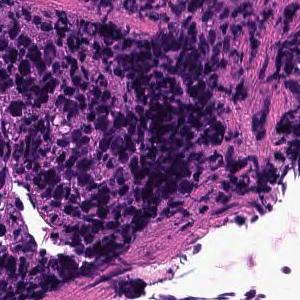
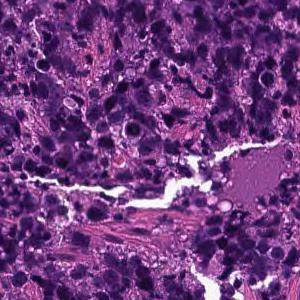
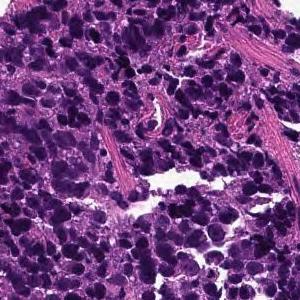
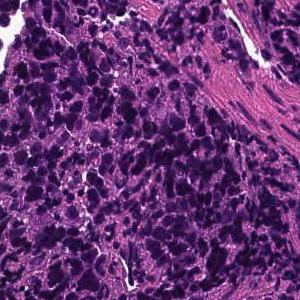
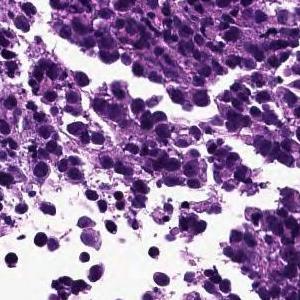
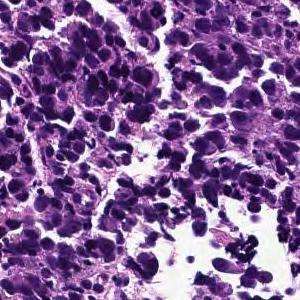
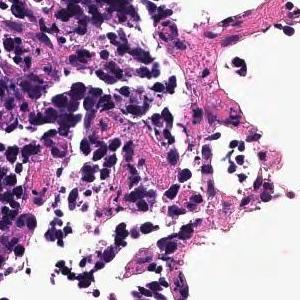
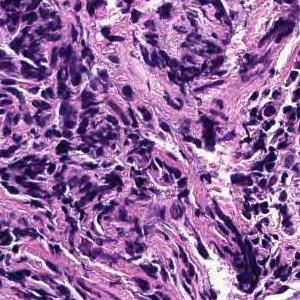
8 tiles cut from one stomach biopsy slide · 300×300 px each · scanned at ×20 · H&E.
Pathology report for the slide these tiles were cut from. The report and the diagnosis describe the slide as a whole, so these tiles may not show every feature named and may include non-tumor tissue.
The superficial epithelium shows large alveolar or sheet-like forms, and some tumor tissue infiltrates with small irregular ducts. Poorly differentiated adenocarcinoma, solid-type
Subtype: Poorly differentiated adenocarcinoma, solid type. This name comes from the Japanese Classification of Gastric Carcinoma; the WHO 2019 classification calls it tubular adenocarcinoma, poorly differentiated.
